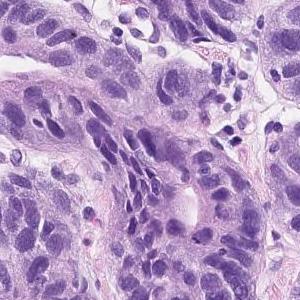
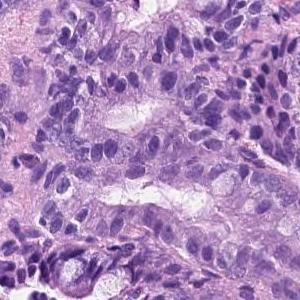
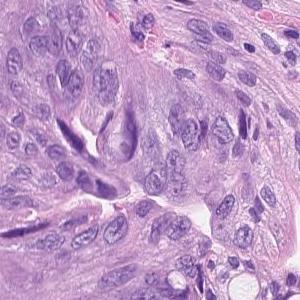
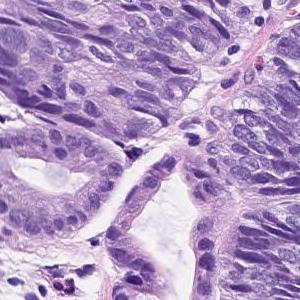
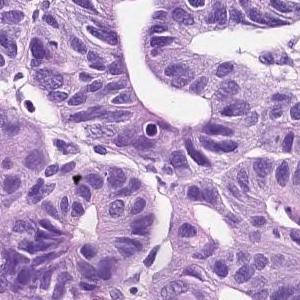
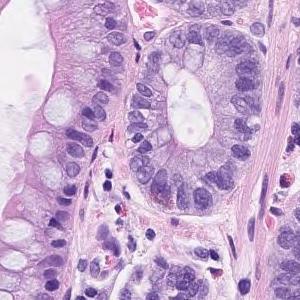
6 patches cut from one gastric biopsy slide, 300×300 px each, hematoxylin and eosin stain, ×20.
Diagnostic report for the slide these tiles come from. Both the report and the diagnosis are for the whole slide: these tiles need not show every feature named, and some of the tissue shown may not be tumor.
Tumor tissue consisting of medium-sized and irregular ducts is observed infiltrating in the superficial epithelium. Tumor cells are highly columnar, with nuclei aligned basolaterally and polarized. Well differentiated tubular adenocarcinoma.
